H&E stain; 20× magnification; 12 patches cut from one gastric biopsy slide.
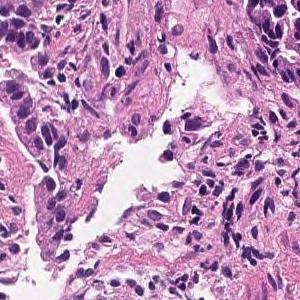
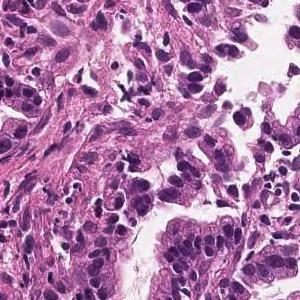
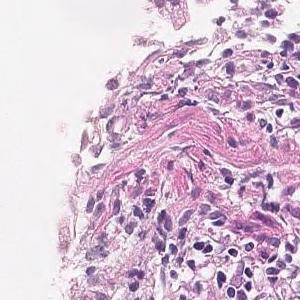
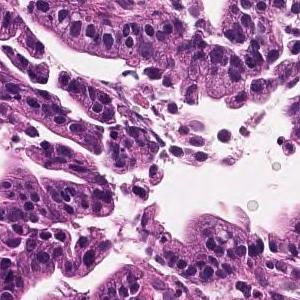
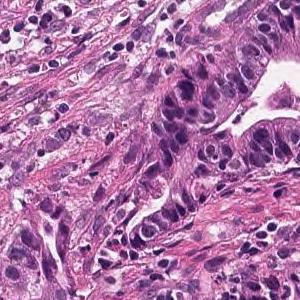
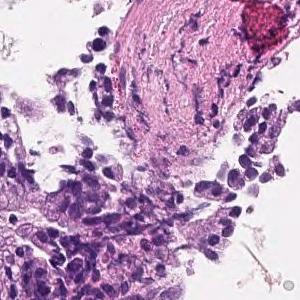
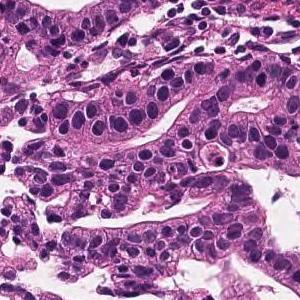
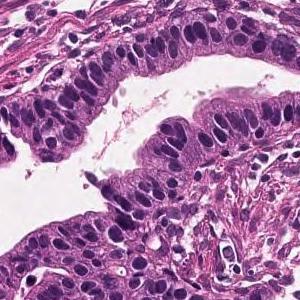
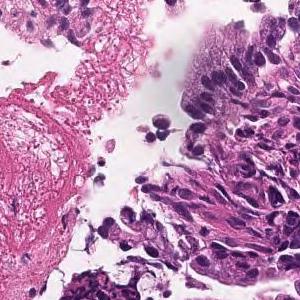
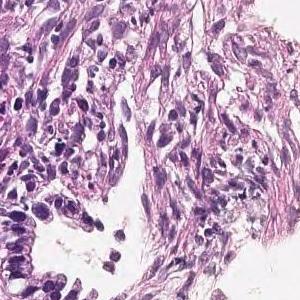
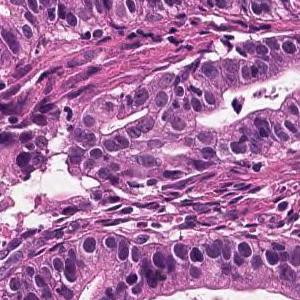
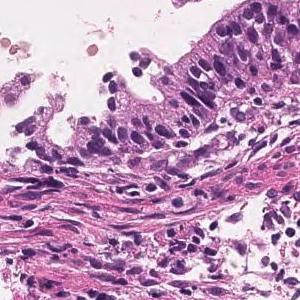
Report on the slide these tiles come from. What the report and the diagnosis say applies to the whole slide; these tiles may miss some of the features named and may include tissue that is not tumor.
Tumor cells are large, highly columnar, large club-shaped nuclei, and are associated with chromatin aggregation. Papillary adenocarcinoma.
